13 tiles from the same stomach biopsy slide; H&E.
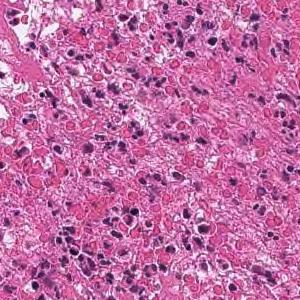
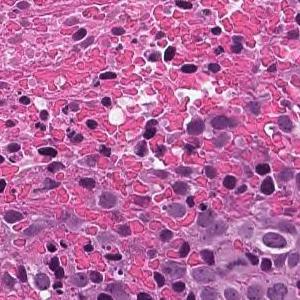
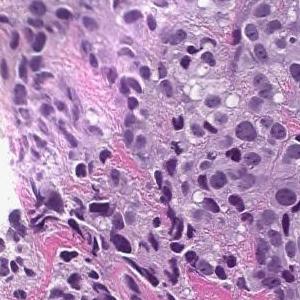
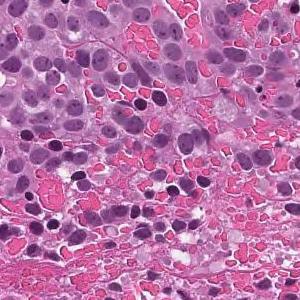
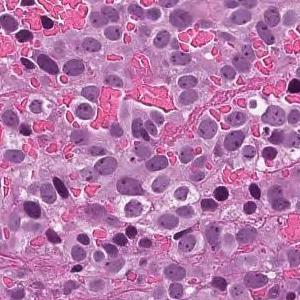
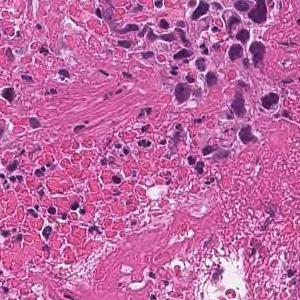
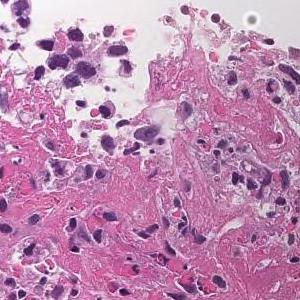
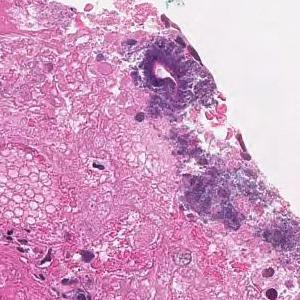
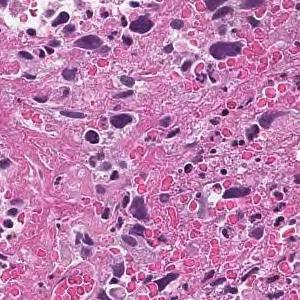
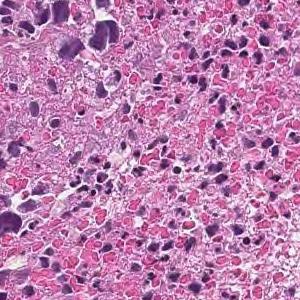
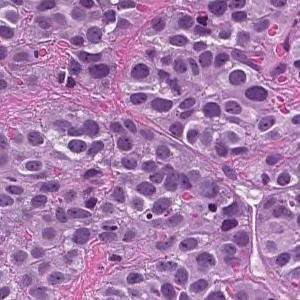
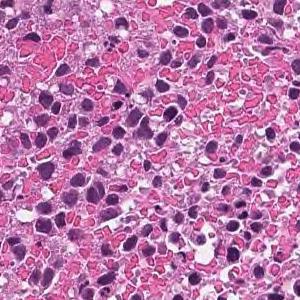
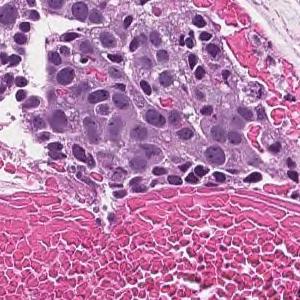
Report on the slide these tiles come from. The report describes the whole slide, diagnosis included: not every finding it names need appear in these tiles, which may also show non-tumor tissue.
The superficial epithelium shows a large sheet-like shape, and some tumor tissue infiltrates with small irregular ducts. Poorly differentiated adenocarcinoma, solid-type
Histologic type: Poorly differentiated adenocarcinoma, solid type. This name comes from the Japanese Classification of Gastric Carcinoma; the WHO 2019 classification calls it tubular adenocarcinoma, poorly differentiated.
